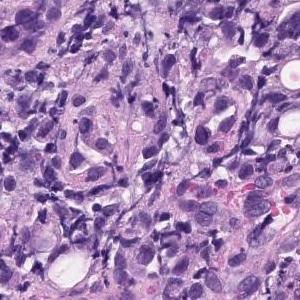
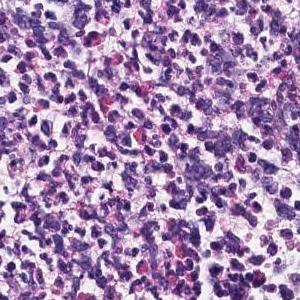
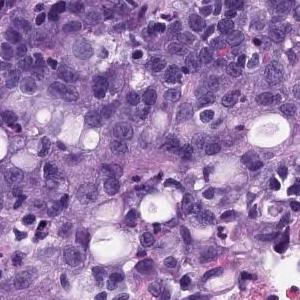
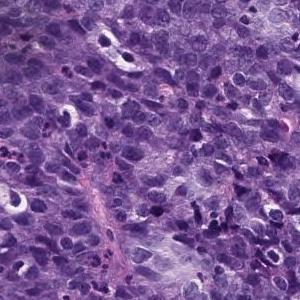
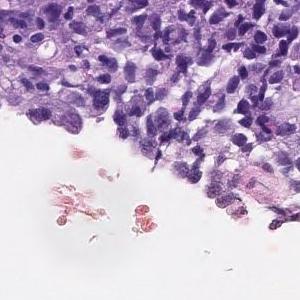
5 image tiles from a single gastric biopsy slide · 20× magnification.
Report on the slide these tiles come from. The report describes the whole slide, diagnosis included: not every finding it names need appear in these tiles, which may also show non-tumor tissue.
The superficial epithelium shows a large sheet-like shape, and some tumor tissue infiltrates with small irregular ducts. Poorly differentiated adenocarcinoma, solid-type
Tumor subtype: poorly differentiated adenocarcinoma, solid type (Japanese Classification of Gastric Carcinoma). The WHO 2019 equivalent is tubular adenocarcinoma, poorly differentiated.
